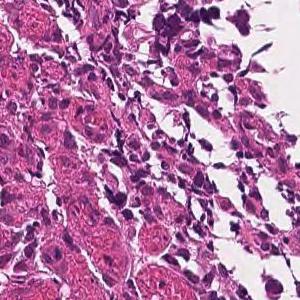
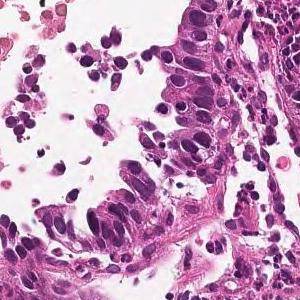
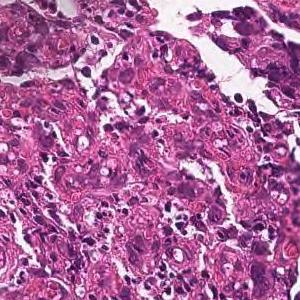
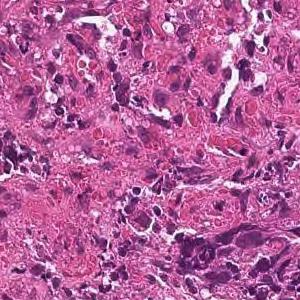
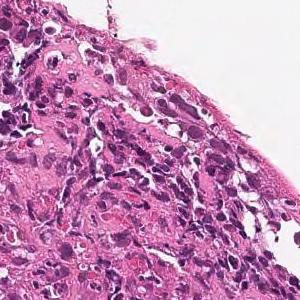
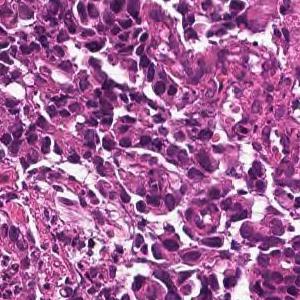
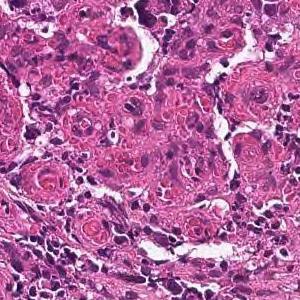
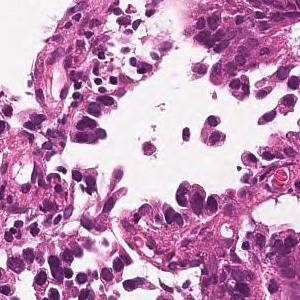
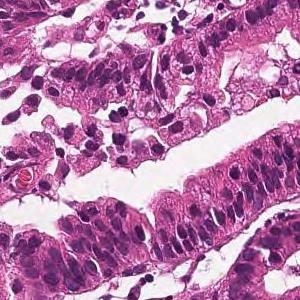
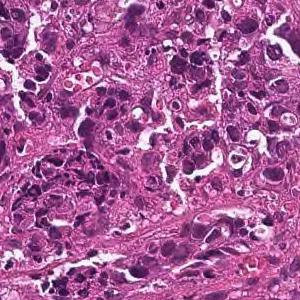
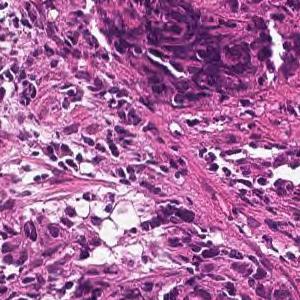
H&E stain · ×20 · 11 tiles from the same stomach biopsy slide · 300 × 300 pixels each.
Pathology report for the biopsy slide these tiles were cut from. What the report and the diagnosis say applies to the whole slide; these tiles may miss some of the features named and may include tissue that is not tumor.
Tumor tissue consisting of medium-sized, cord-like or irregular glandular infiltration is observed in the superficial epithelium. Poorly differentiated adenocarcinoma, non-solid type or moderately differentiated tubular adenocarcinoma
Histological subtype: Moderately to poorly differentiated adenocarcinoma.
The term "non-solid type" comes from the Japanese Classification of Gastric Carcinoma.
